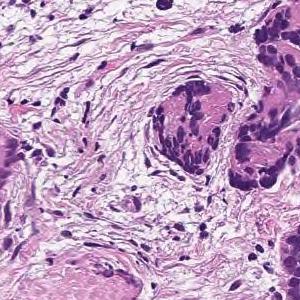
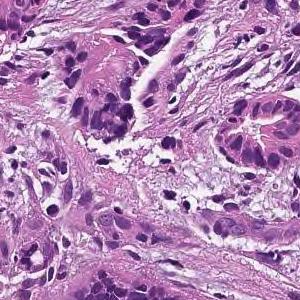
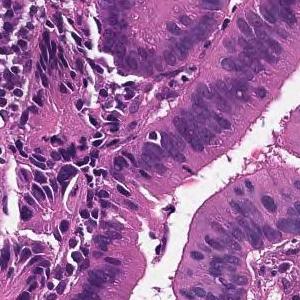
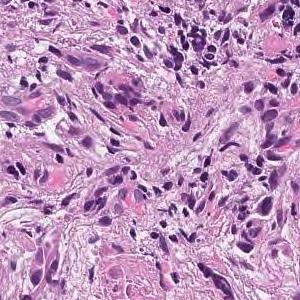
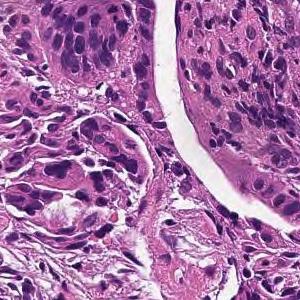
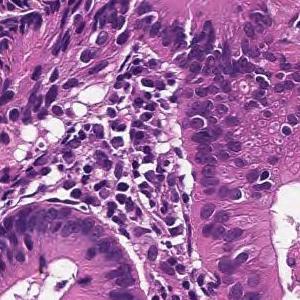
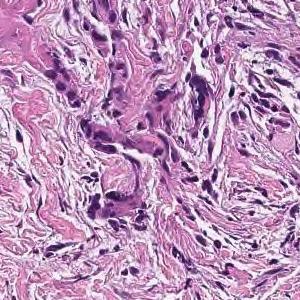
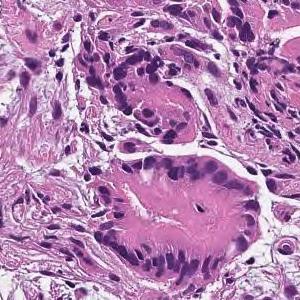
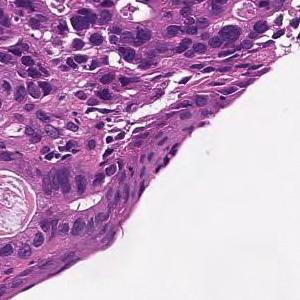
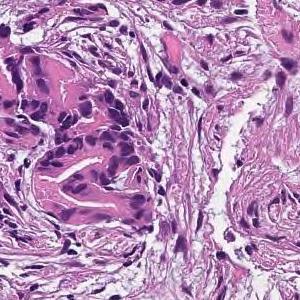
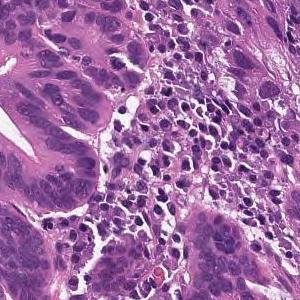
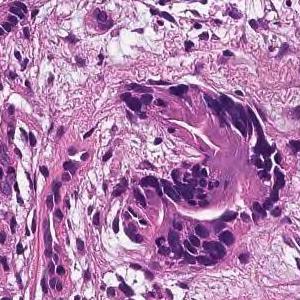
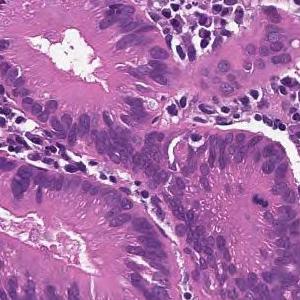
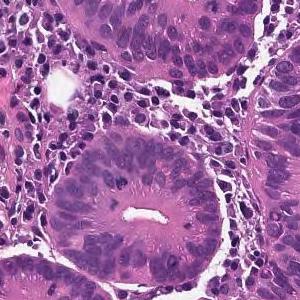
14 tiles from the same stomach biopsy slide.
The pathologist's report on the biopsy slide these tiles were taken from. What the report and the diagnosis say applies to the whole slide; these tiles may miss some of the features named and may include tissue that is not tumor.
From the superficial epithelium to the muscularis mucosae, tumor tissue consisting of medium-sized and irregular glandular ducts infiltrating is observed. Well differentiated tubular adenocarcinoma
